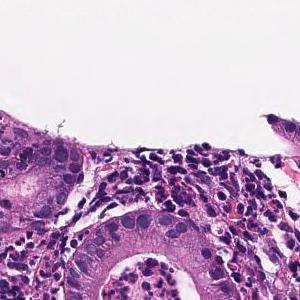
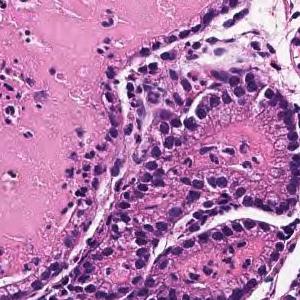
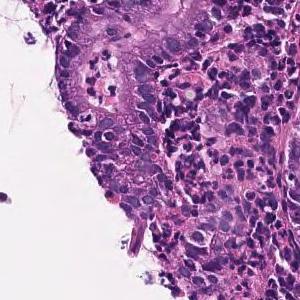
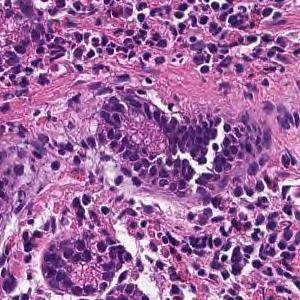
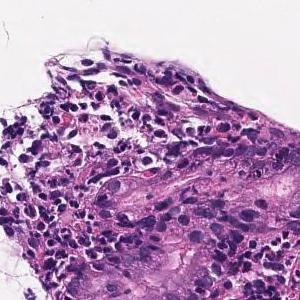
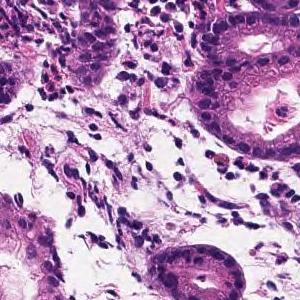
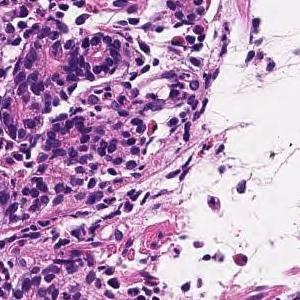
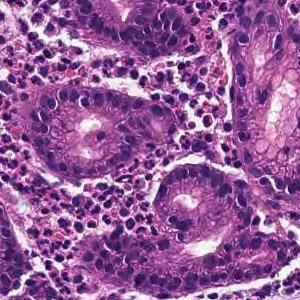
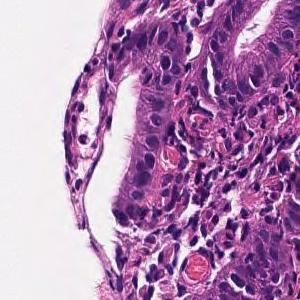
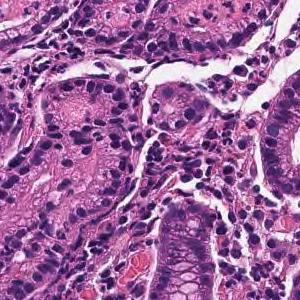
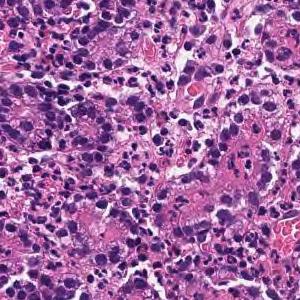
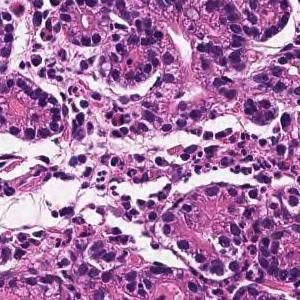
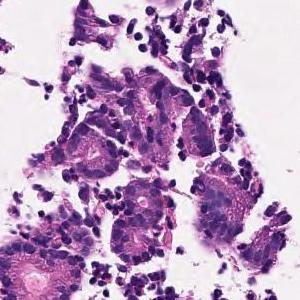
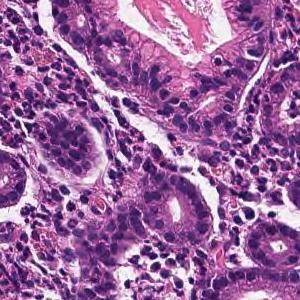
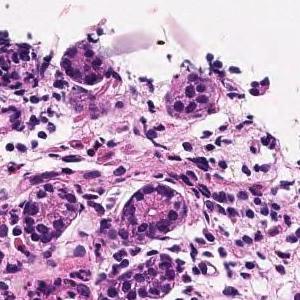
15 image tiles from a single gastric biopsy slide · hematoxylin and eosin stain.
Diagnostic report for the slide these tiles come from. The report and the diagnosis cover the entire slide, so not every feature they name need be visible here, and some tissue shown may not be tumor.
Tumor tissue infiltrated and proliferated with small to medium-sized irregular tubules is observed in the superficial epithelium. Well differentiated tubular adenocarcinoma
